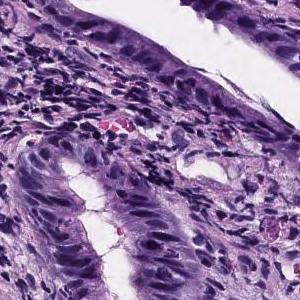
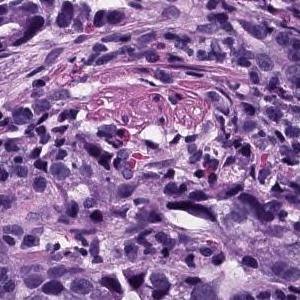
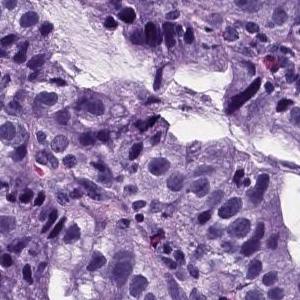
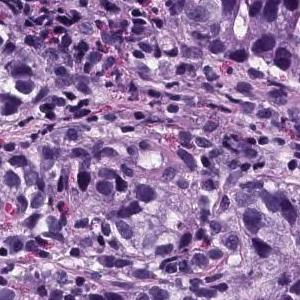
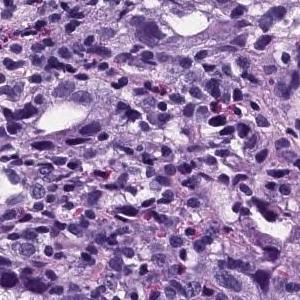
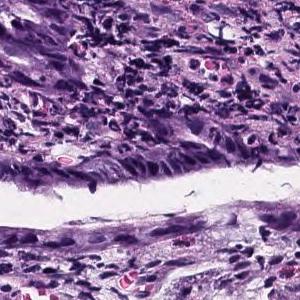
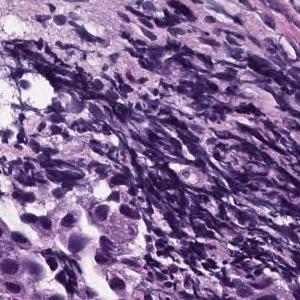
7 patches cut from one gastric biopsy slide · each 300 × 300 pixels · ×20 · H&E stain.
The pathologist's report on the biopsy slide these tiles were taken from. The findings and the diagnosis refer to the entire slide; these tiles show only part of it, possibly with non-tumor tissue, and may not show every feature named.
Atypical epithelial cells infiltrating and proliferating while forming solid or cord-like fused glandular cavities of different sizes is observed. moderately differentiated tubular adenocarcinoma, poorly differentiated adenocarcinoma.
Subtype: Moderately to poorly differentiated adenocarcinoma.
